Hematoxylin and eosin stain; 8 tiles cut from one stomach biopsy slide; 300 × 300 pixels each.
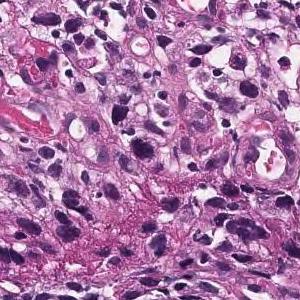
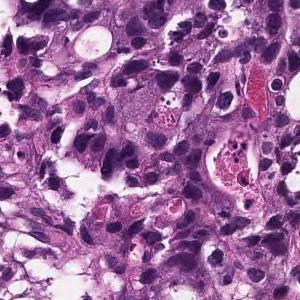
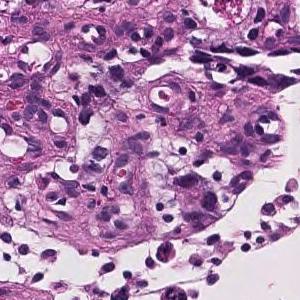
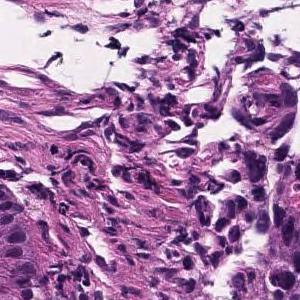
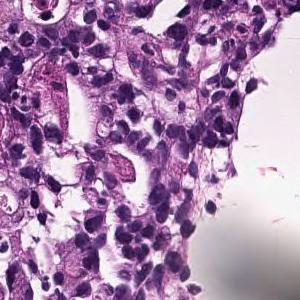
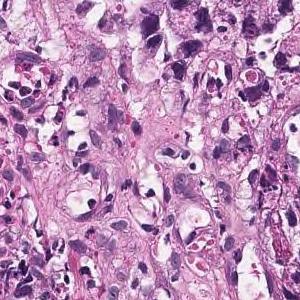
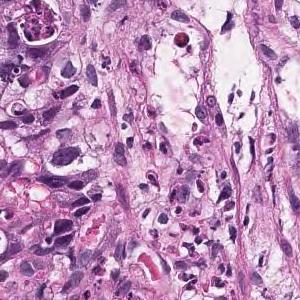
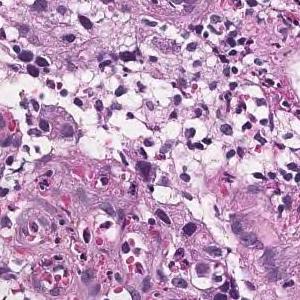
Pathology report for the slide these tiles were cut from. The report and the diagnosis describe the slide as a whole, so these tiles may not show every feature named and may include non-tumor tissue.
Tumor tissue consisting of medium-sized, cord-like or irregular glandular infiltration is observed in the superficial epithelium. Poorly differentiated adenocarcinoma, non-solid type or moderately differentiated tubular adenocarcinoma
The non-solid type named here is a Japanese Classification of Gastric Carcinoma category.
